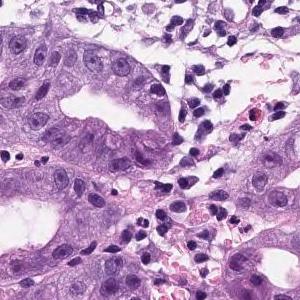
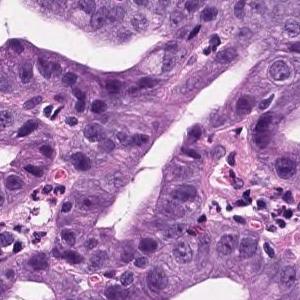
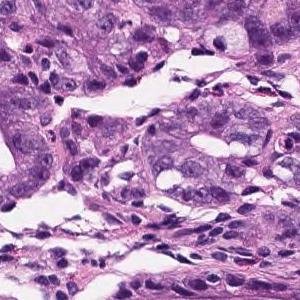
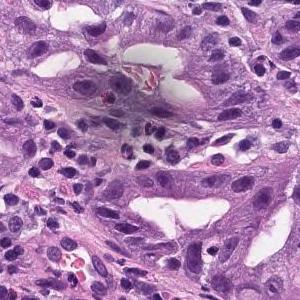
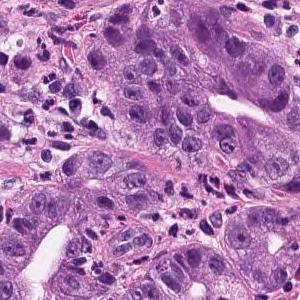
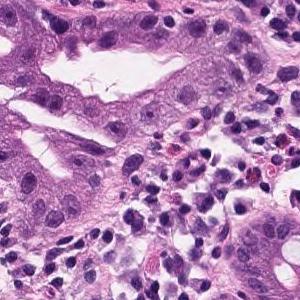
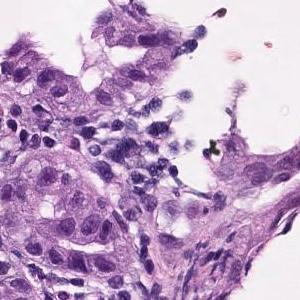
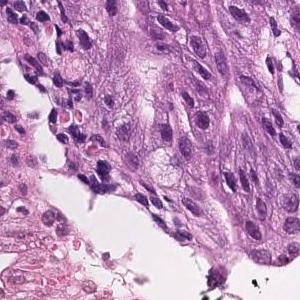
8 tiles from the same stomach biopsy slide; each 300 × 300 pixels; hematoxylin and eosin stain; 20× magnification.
Report on the slide these tiles come from. What the report and the diagnosis say applies to the whole slide; these tiles may miss some of the features named and may include tissue that is not tumor.
In the superficial epithelium, tumor tissue that invades by forming medium-sized to small, irregular ducts is observed. Well to moderately differentiated adenocarcinoma (well differentiated tubular adenocarcinoma, moderately differentiated tubular adenocarcinoma).
Tumor subtype: well to moderately differentiated tubular adenocarcinoma.
